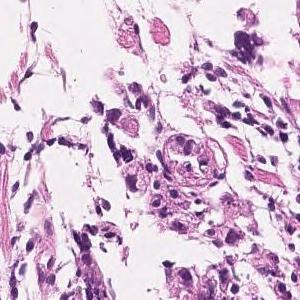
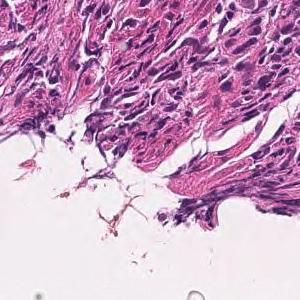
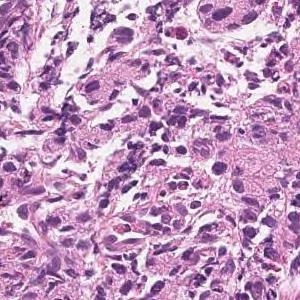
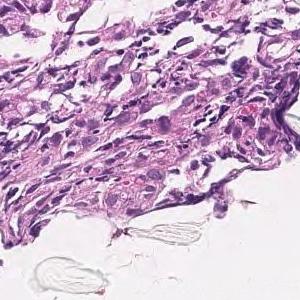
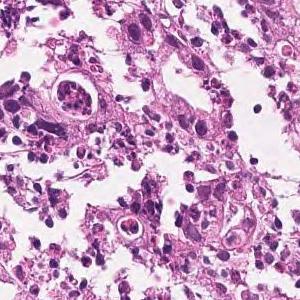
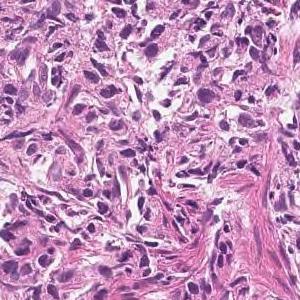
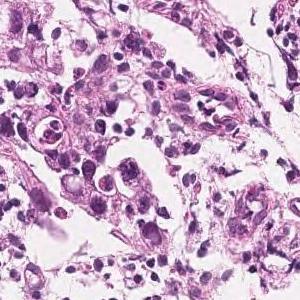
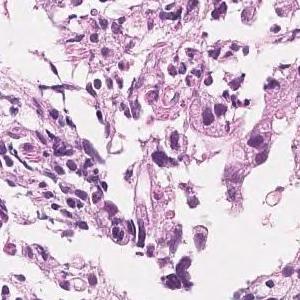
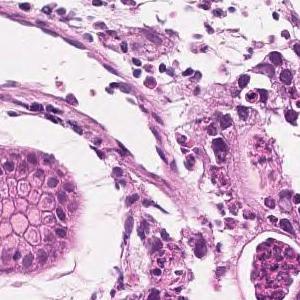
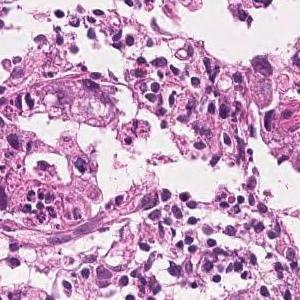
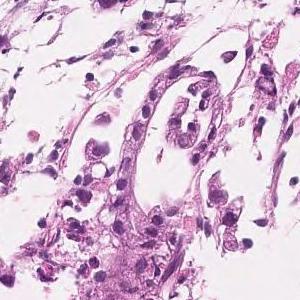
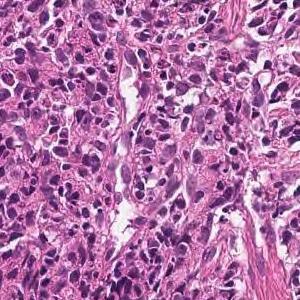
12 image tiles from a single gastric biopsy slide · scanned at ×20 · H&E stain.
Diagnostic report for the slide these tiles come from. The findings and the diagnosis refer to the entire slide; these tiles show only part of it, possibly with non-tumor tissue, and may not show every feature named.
In the superficial epithelium, medium to small, irregular glandular ducts are formed, and in some parts, the glandular ducts are fused, and in other parts, small cord-like infiltrating tumor tissue is observed. Moderately to poorly differentiated adenocarcinoma.
